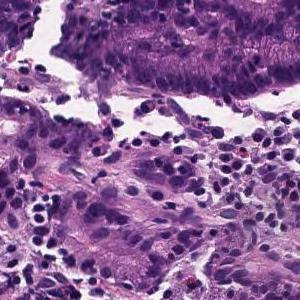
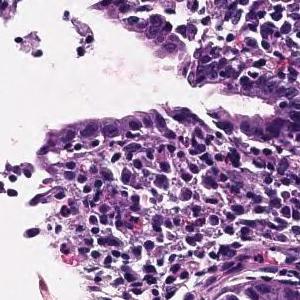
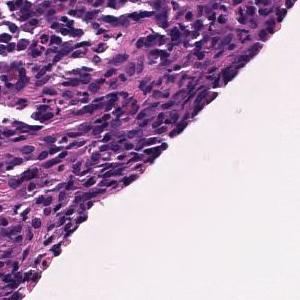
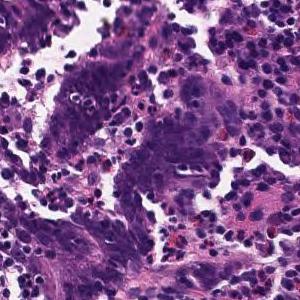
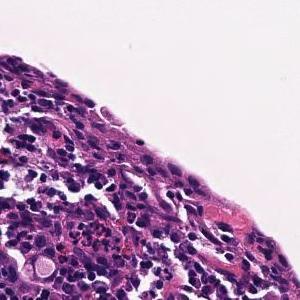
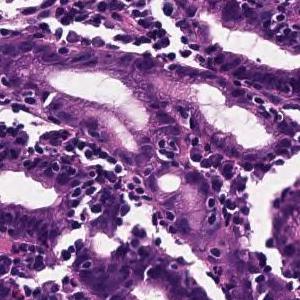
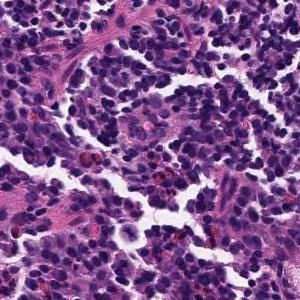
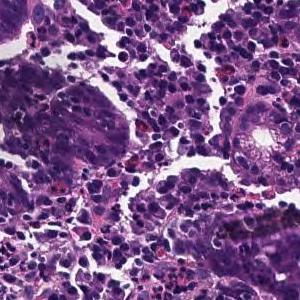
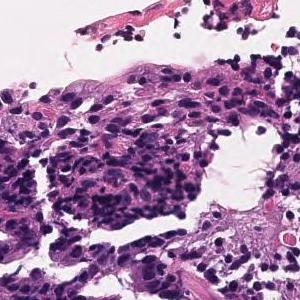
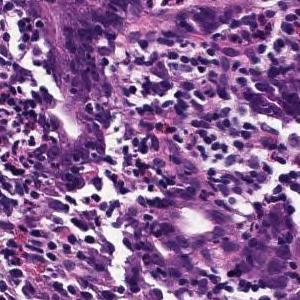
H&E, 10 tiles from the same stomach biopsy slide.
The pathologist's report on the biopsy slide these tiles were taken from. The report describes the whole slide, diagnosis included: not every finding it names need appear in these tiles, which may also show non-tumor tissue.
Tumor tissue consisting of medium-sized, cord-like or irregular glandular infiltration is observed in the superficial epithelium. Poorly differentiated adenocarcinoma, non-solid type or moderately differentiated tubular adenocarcinoma
Histologic type: Moderately to poorly differentiated adenocarcinoma.
The term "non-solid type" comes from the Japanese Classification of Gastric Carcinoma.
